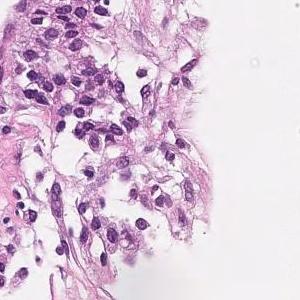
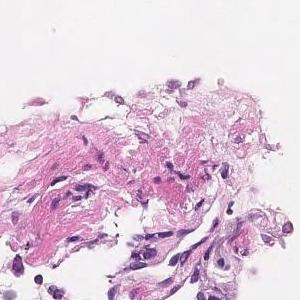
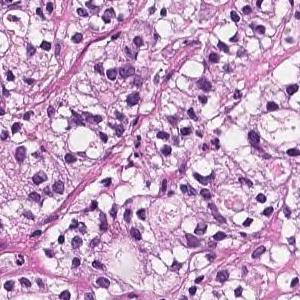
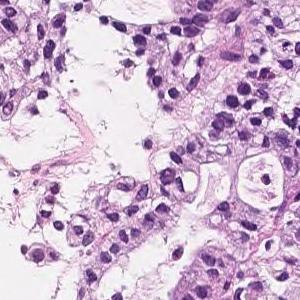
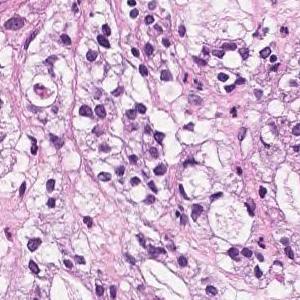
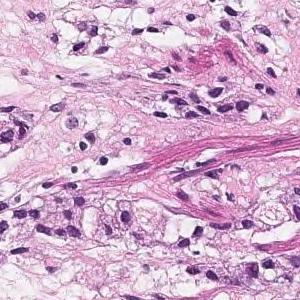
6 tiles cut from one stomach biopsy slide, H&E stain, scanned at ×20.
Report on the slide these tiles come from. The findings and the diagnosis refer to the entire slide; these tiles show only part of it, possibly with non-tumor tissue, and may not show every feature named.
In the superficial epithelium, tumor tissue that invades by forming medium-sized to small, irregular ducts is observed. moderately differentiated tubular adenocarcinoma.
